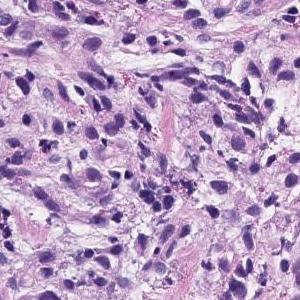
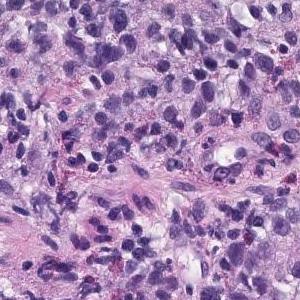
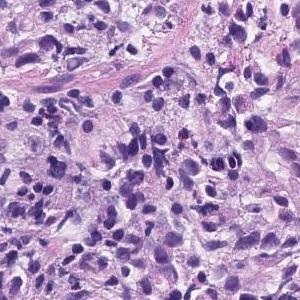
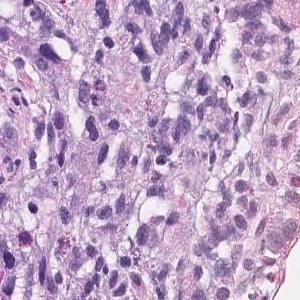
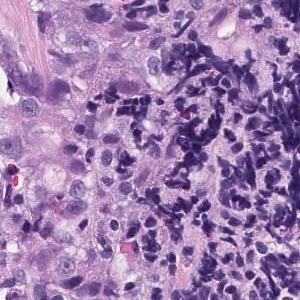
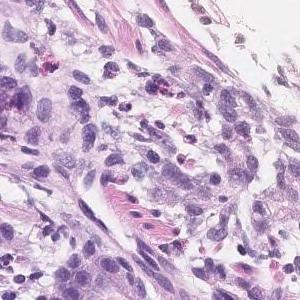
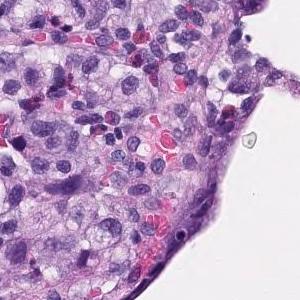
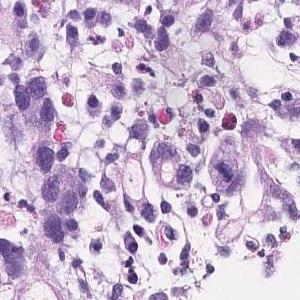
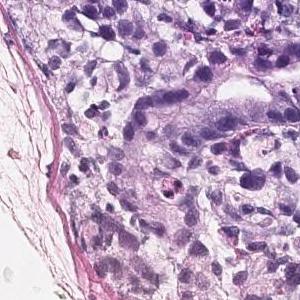
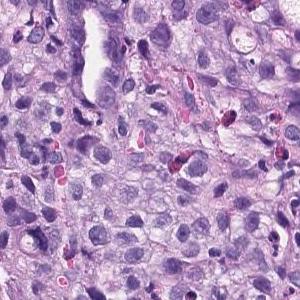
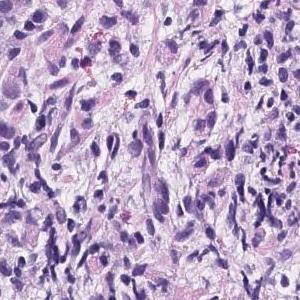
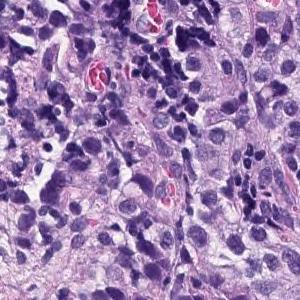
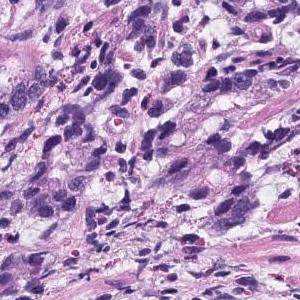
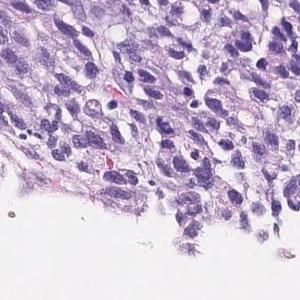
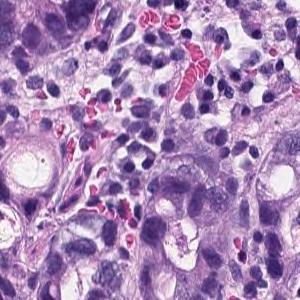
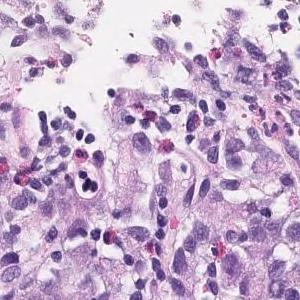
20× magnification · H&E · 16 tiles cut from one stomach biopsy slide · 300 × 300 pixels each.
Pathology report for the biopsy slide these tiles were cut from. The report and the diagnosis describe the slide as a whole, so these tiles may not show every feature named and may include non-tumor tissue.
There are atypical l cells with atypical nuclei forming cord-like or irregular atypical ducts from solidity and proliferating in a comprehensive manner. Poorly differentiated adenocarcinoma, Moderately differentiated adenocarcinoma (poorly differentiated adenocarcinoma, solid type moderately differentiated tubular adenocarcinoma)
Histologic type: Moderately to poorly differentiated adenocarcinoma.
The solid type named here is a Japanese Classification of Gastric Carcinoma category; WHO 2019 calls it tubular adenocarcinoma, poorly differentiated.
